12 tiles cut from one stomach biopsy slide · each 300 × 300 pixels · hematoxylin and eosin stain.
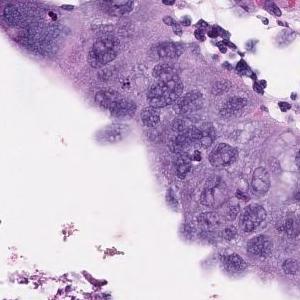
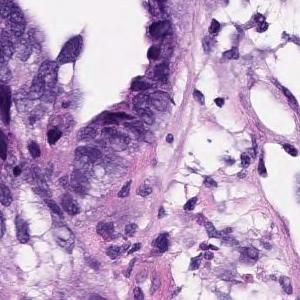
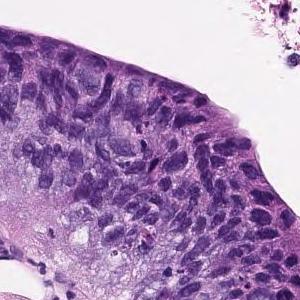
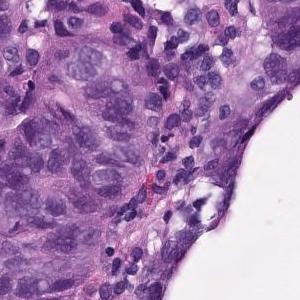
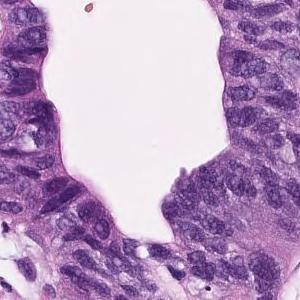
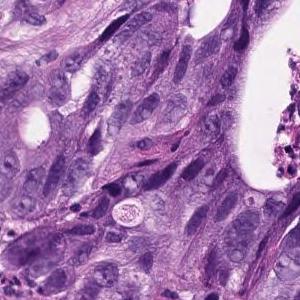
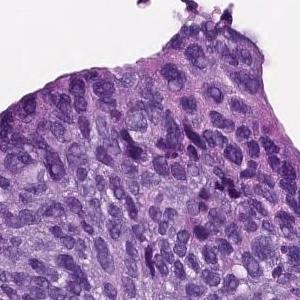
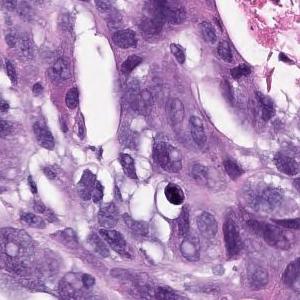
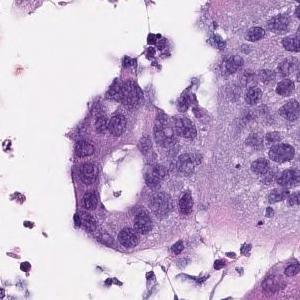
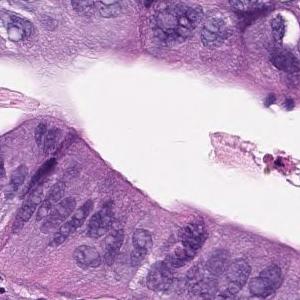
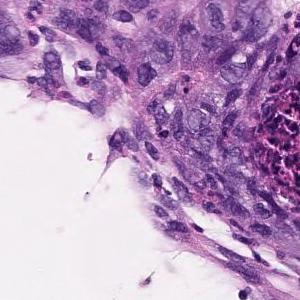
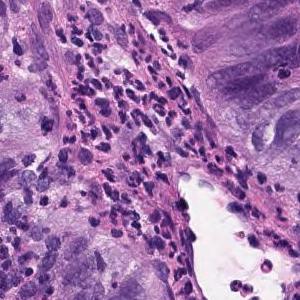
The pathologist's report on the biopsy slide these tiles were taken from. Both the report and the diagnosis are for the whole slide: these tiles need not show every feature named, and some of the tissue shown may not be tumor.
In the superficial epithelium, tumor tissue that invades by forming medium-sized to small, irregular ducts is observed. Moderately differentiated adenocarcinoma.
Histological subtype: Moderately differentiated tubular adenocarcinoma.
